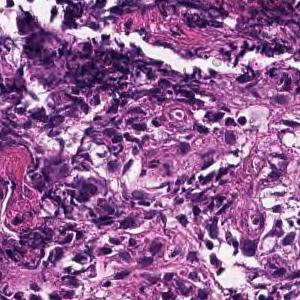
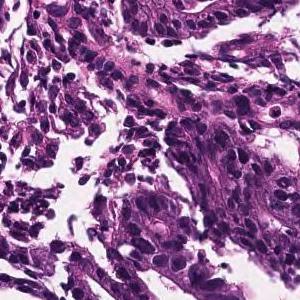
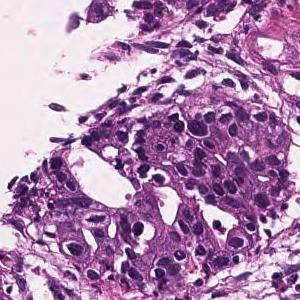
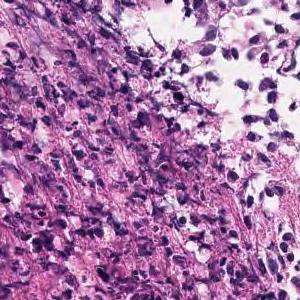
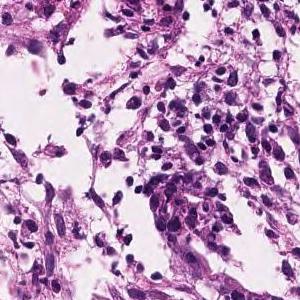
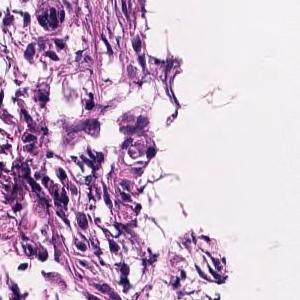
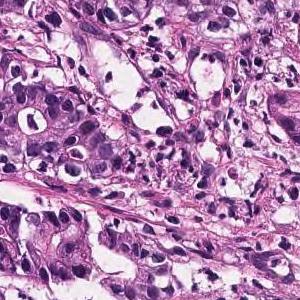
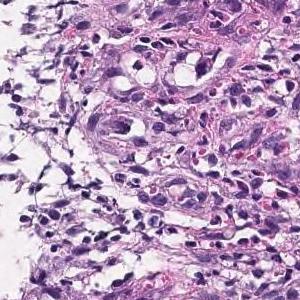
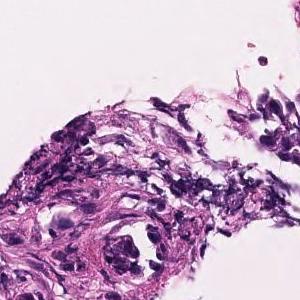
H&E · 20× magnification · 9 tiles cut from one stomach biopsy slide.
Diagnostic report for the slide these tiles come from. The report and the diagnosis describe the slide as a whole, so these tiles may not show every feature named and may include non-tumor tissue.
In the superficial epithelium, medium to small, irregular gland ducts are formed, and in some cases, the gland ducts are fused to show solid alveolar lesions and infiltrating tumor tissue is observed. Moderately to poorly differentiated adenocarcinoma.
